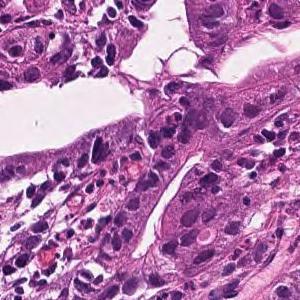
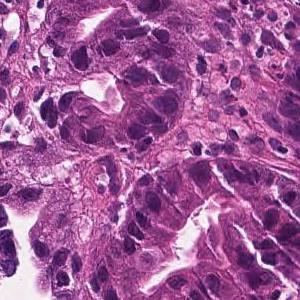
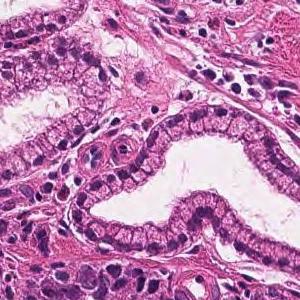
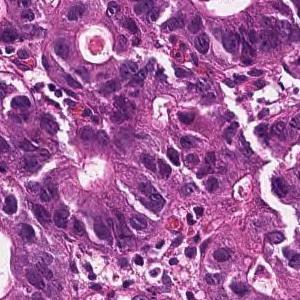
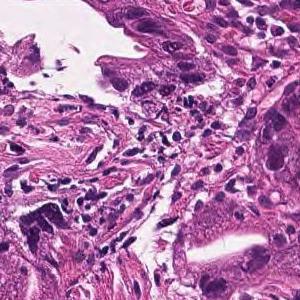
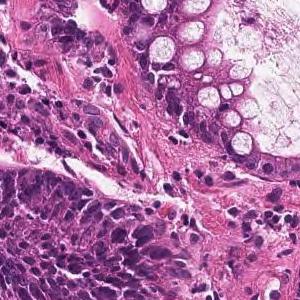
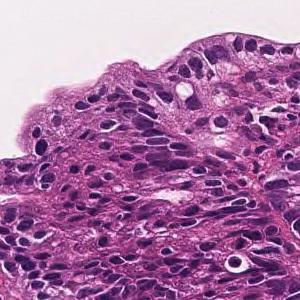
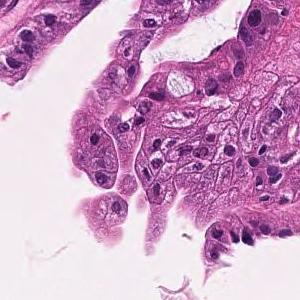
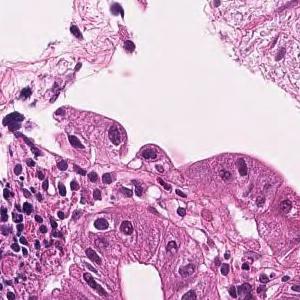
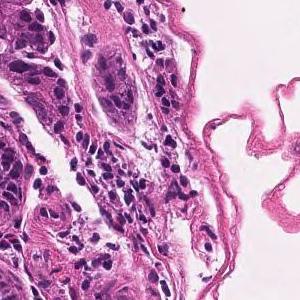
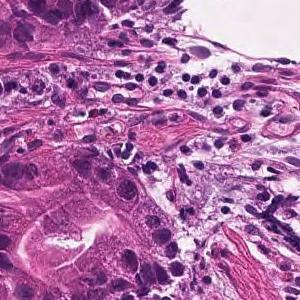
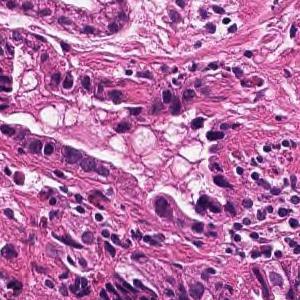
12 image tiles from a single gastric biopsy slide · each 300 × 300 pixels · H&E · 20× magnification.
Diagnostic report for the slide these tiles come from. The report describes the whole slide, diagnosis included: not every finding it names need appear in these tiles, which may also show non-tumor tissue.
In the superficial epithelium, tumor tissue that invades by forming medium-sized to small, irregular ducts is observed. moderately differentiated tubular adenocarcinoma.
